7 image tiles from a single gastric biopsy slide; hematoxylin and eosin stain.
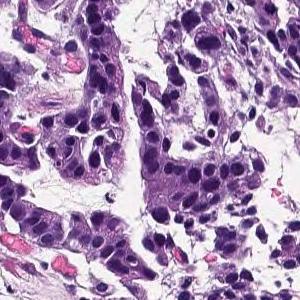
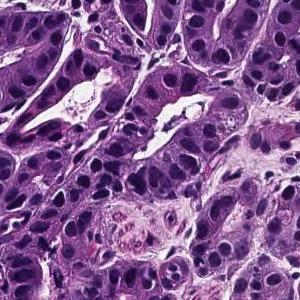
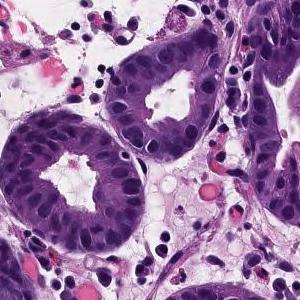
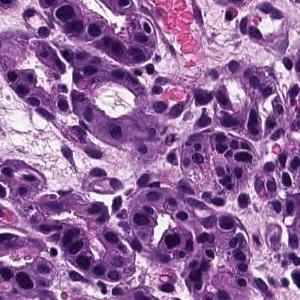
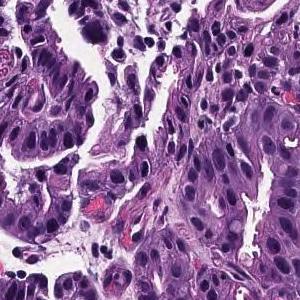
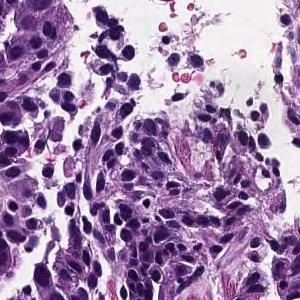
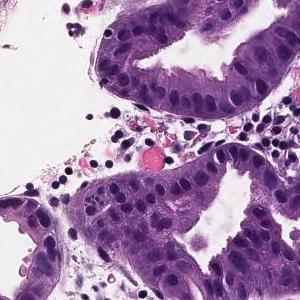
Pathology report for the biopsy slide these tiles were cut from. The report describes the whole slide, diagnosis included: not every finding it names need appear in these tiles, which may also show non-tumor tissue.
From the superficial epithelium to the muscularis mucosae, tumor tissue consisting of medium-sized and irregular glandular ducts infiltrating is observed. Well differentiated tubular adenocarcinoma
